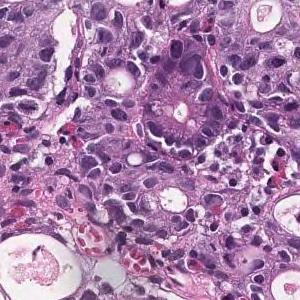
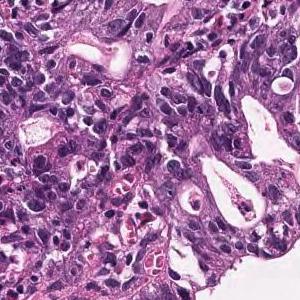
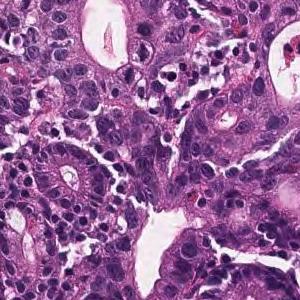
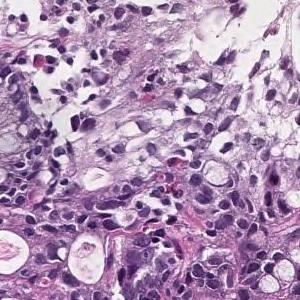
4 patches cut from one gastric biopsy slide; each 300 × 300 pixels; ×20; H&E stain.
Diagnostic report for the slide these tiles come from. The findings and the diagnosis refer to the entire slide; these tiles show only part of it, possibly with non-tumor tissue, and may not show every feature named.
In the superficial epithelium, tumor tissue that invades by forming medium-sized to small, irregular ducts is observed. Moderately differentiated adenocarcinoma.
Histologic type: Moderately differentiated tubular adenocarcinoma.
